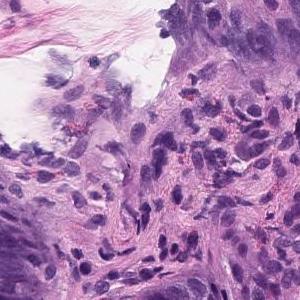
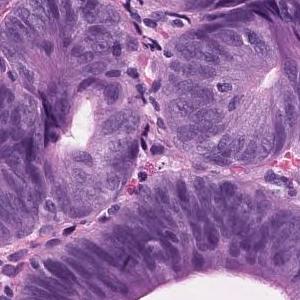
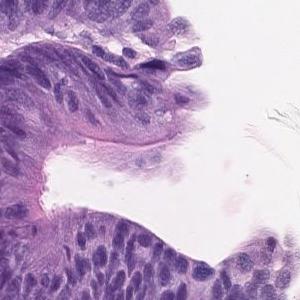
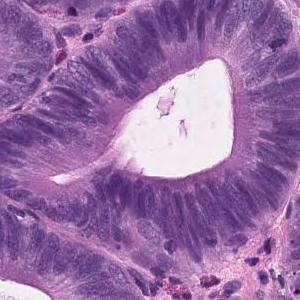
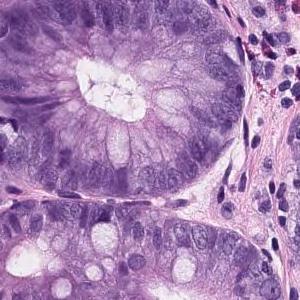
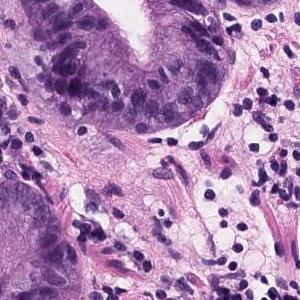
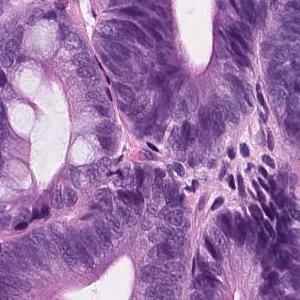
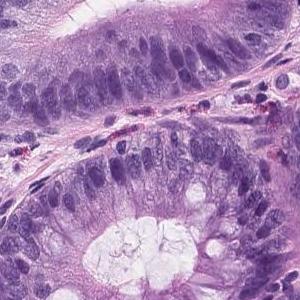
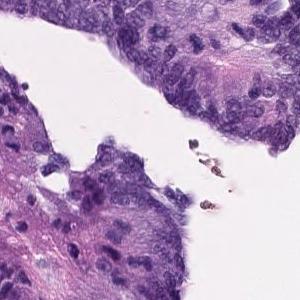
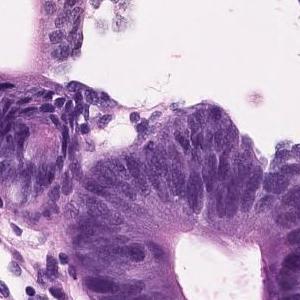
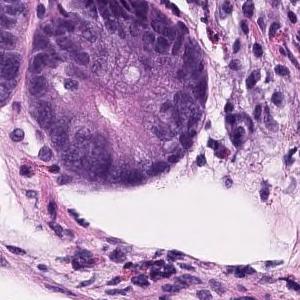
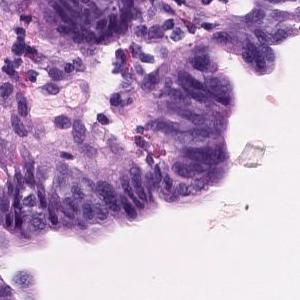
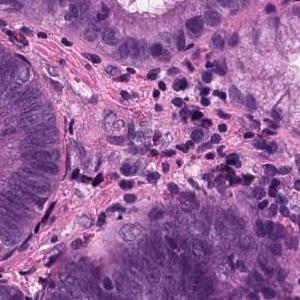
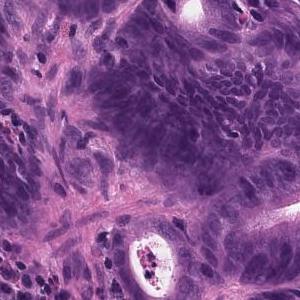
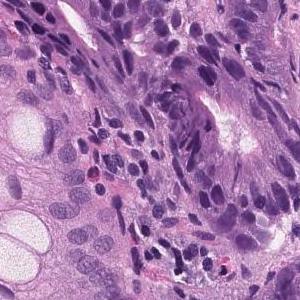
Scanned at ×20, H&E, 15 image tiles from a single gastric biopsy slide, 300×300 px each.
Diagnostic report for the slide these tiles come from. The report and the diagnosis describe the slide as a whole, so these tiles may not show every feature named and may include non-tumor tissue.
On the superficial epithelium, tumor tissue with densely growing medium to large, round tubules is observed. Tumor cells are highly columnar, with nuclei aligned basolaterally and polarized. Well differentiated tubular adenocarcinoma
